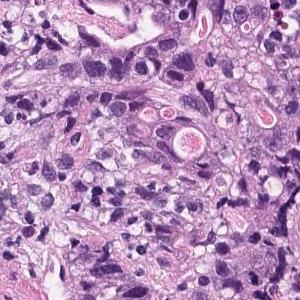
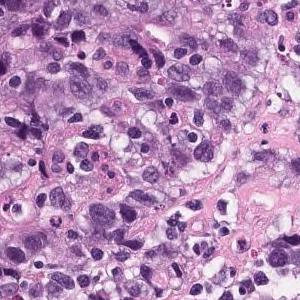
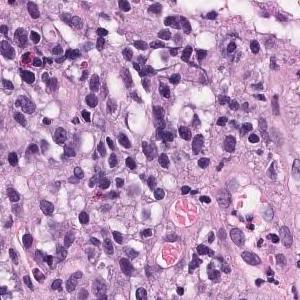
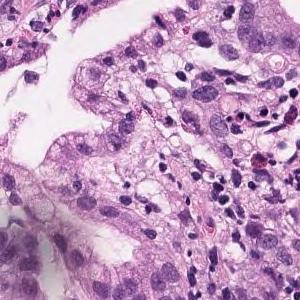
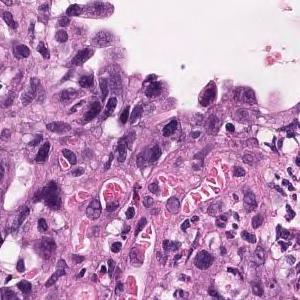
H&E, ×20, 5 tiles cut from one stomach biopsy slide, each 300 × 300 pixels.
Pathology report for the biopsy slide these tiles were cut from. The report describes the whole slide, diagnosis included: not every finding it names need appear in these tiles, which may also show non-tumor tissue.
Atypical ducts proliferating with obscure duct construction and solid sequences is observed. Moderately to poorly differentiated adenocarcinoma.
